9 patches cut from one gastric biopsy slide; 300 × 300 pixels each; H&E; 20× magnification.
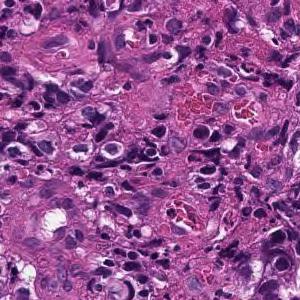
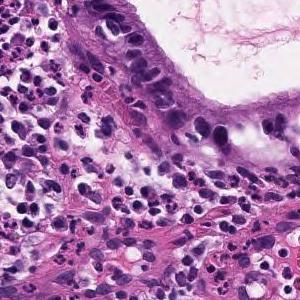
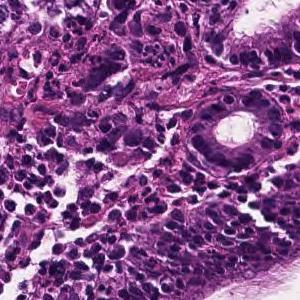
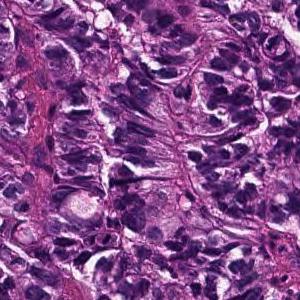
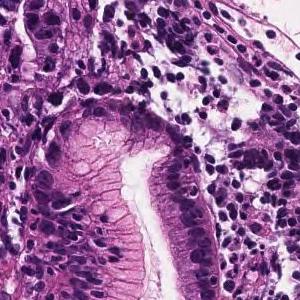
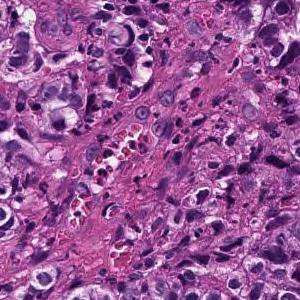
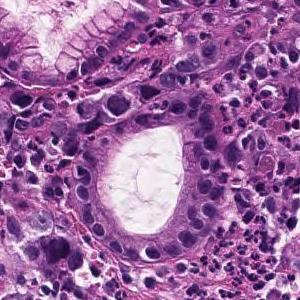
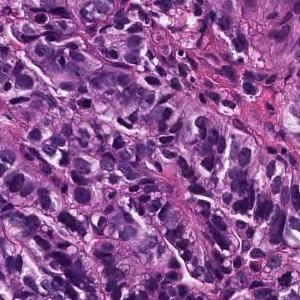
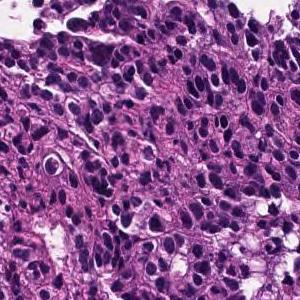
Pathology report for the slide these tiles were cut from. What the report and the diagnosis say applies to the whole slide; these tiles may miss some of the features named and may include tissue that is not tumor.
In the superficial epithelium, tumor tissue that invades by forming medium-sized to small, irregular ducts is observed. moderately differentiated tubular adenocarcinoma.
